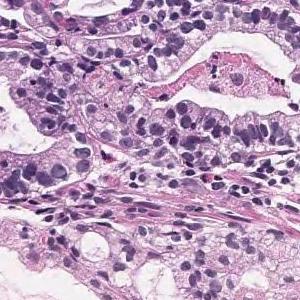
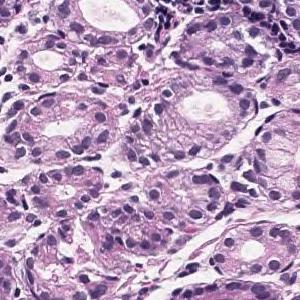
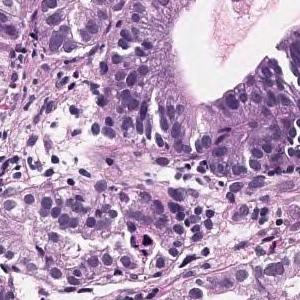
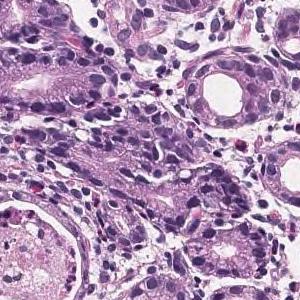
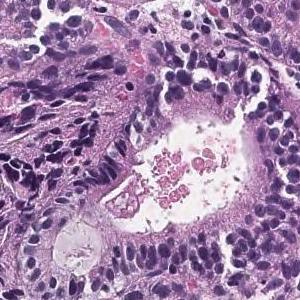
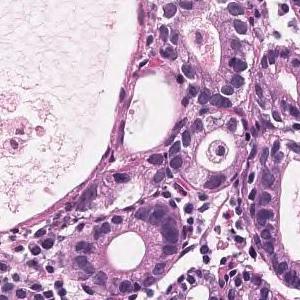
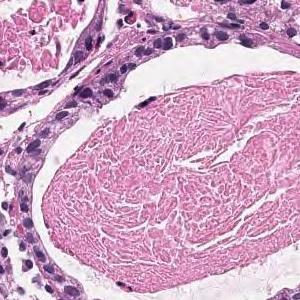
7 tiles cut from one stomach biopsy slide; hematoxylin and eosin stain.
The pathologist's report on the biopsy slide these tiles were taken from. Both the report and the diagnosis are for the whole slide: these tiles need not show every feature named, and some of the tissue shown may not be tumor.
Tumor tissue forming round ducts of different sizes is observed, and cells that have fallen into apoptosis are observed in some ducts. Well differentiated tubular adenocarcinoma
